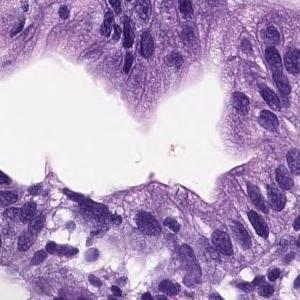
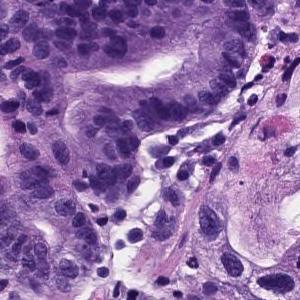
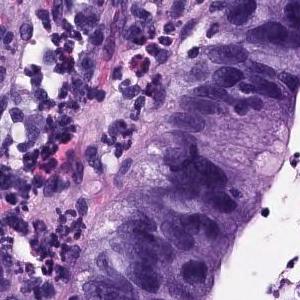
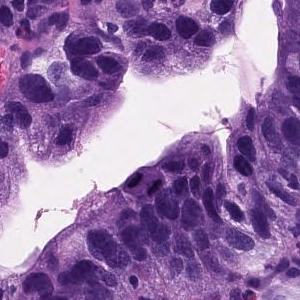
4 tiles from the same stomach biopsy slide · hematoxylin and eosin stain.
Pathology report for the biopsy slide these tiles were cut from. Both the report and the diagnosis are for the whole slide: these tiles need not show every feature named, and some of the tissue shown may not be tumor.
There are atypical l cells with atypical nuclei forming irregular glandular ducts and growing in a complex manner. Well differentiated tubular adenocarcinoma
